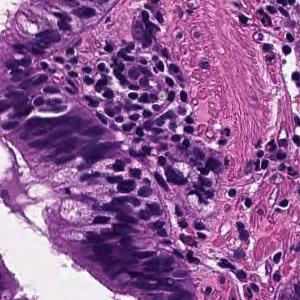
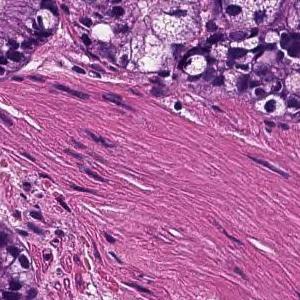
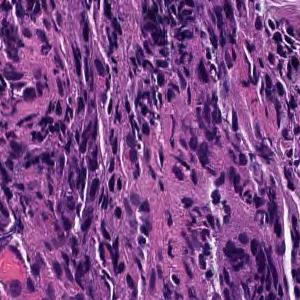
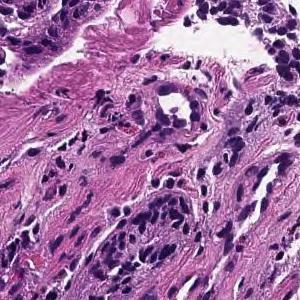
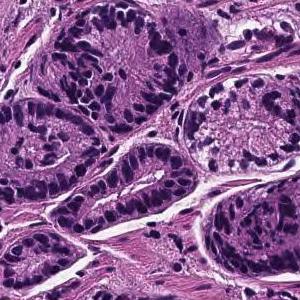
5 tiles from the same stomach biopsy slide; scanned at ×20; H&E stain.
The pathologist's report on the biopsy slide these tiles were taken from. What the report and the diagnosis say applies to the whole slide; these tiles may miss some of the features named and may include tissue that is not tumor.
From the superficial epithelium to the muscularis mucosae, tumor tissue consisting of medium-sized and irregular glandular ducts infiltrating is observed. Well differentiated tubular adenocarcinoma
